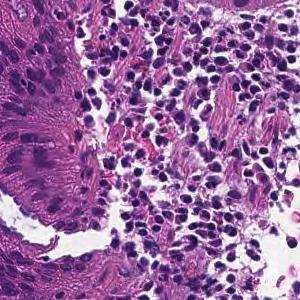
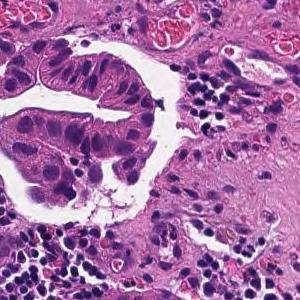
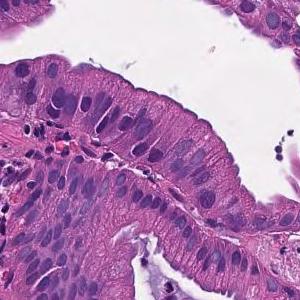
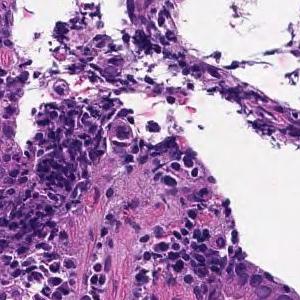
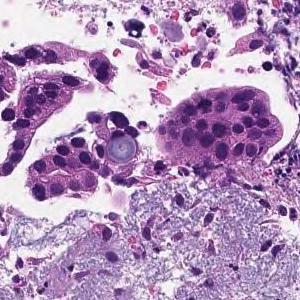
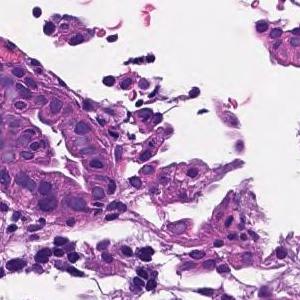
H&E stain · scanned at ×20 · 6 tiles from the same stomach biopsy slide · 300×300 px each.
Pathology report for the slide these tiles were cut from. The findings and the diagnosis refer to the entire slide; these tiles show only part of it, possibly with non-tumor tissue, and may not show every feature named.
On the superficial epithelium, tumor tissue that infiltrates by forming medium-sized papillary or small irregular ducts is observed. Papillary adenocarcinoma
